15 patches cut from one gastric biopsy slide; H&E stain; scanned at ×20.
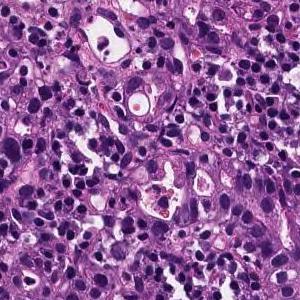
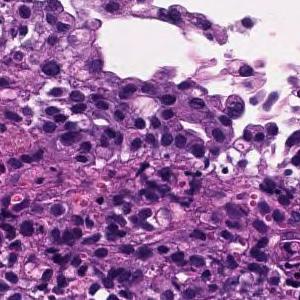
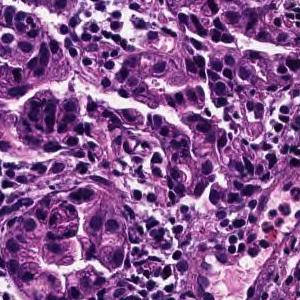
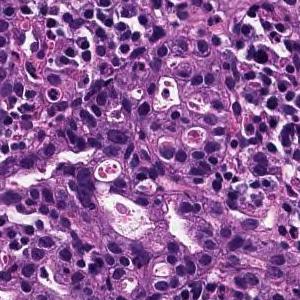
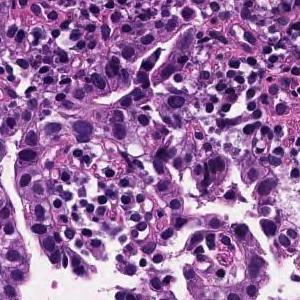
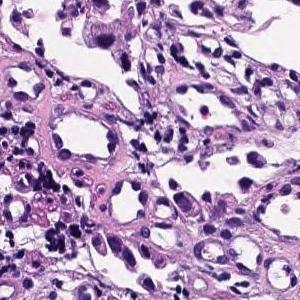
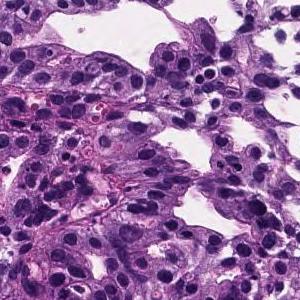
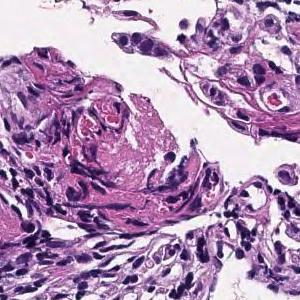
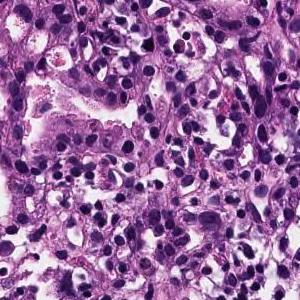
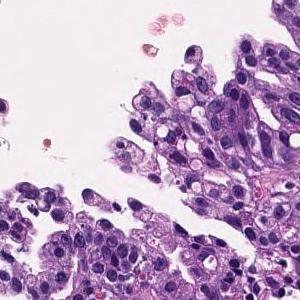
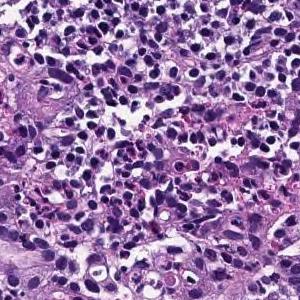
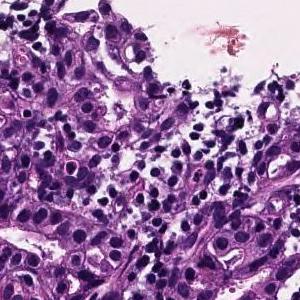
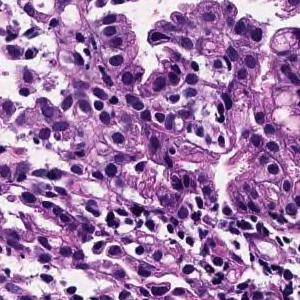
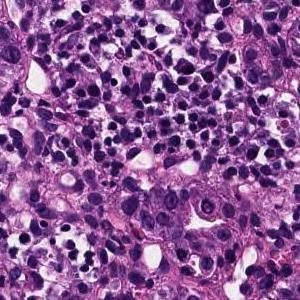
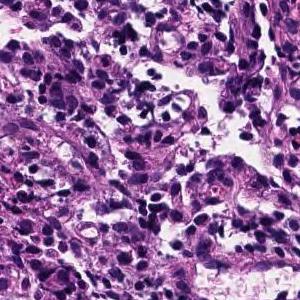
Pathology report for the biopsy slide these tiles were cut from. The findings and the diagnosis refer to the entire slide; these tiles show only part of it, possibly with non-tumor tissue, and may not show every feature named.
Medium to small, irregular glandular ducts are formed in the superficial epithelium, and in some cases, the glandular ducts are fused to show solid alveolar lesions and infiltrating tumor tissue is observed. Moderately to poorly differentiated adenocarcinoma.
